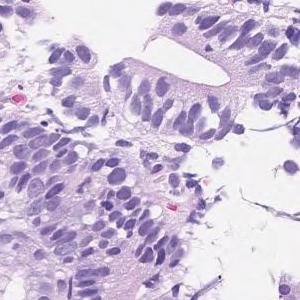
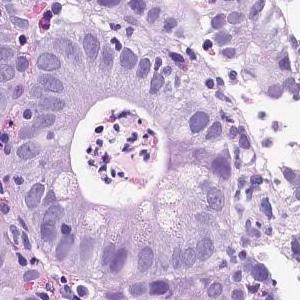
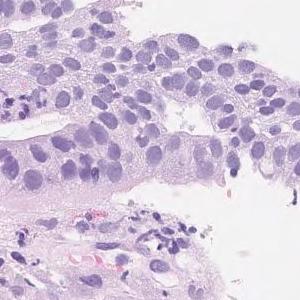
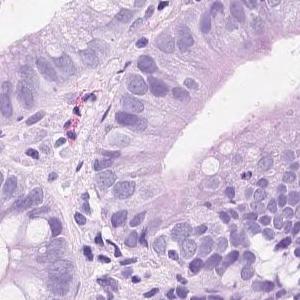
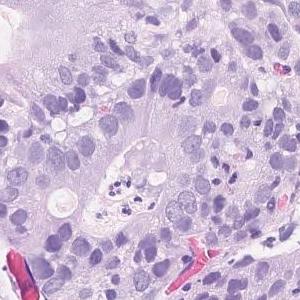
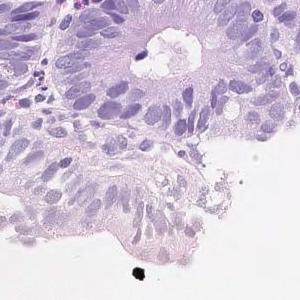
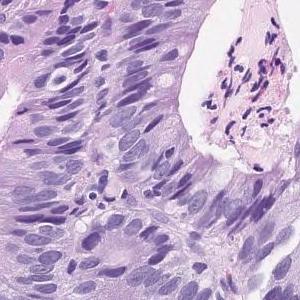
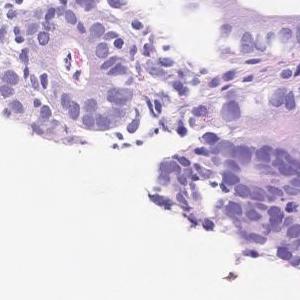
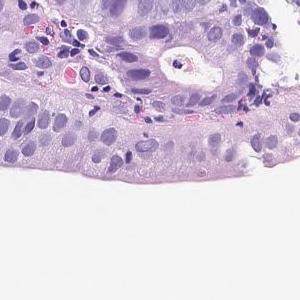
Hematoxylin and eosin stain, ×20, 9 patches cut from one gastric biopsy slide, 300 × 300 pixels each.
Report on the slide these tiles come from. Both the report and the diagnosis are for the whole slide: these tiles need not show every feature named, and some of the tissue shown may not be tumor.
On the superficial epithelium, tumor tissue consisting of medium to small irregular tubules partially fused and proliferated is observed. moderately differentiated tubular adenocarcinoma
